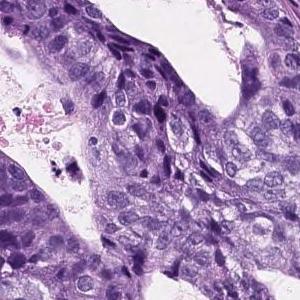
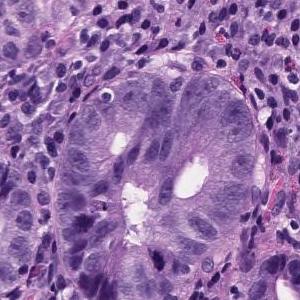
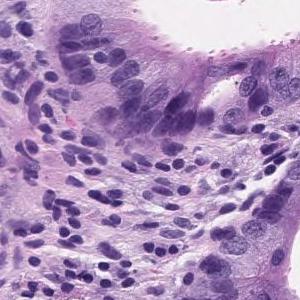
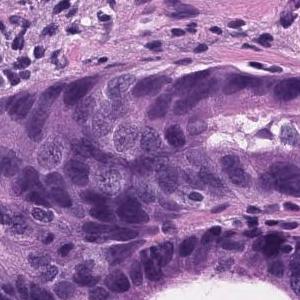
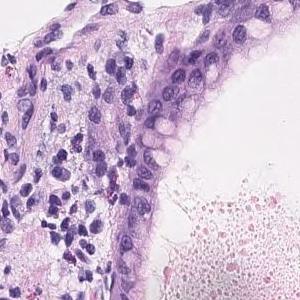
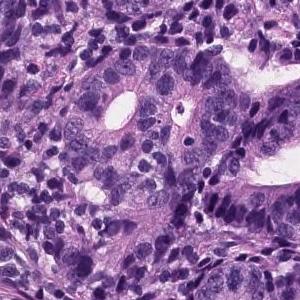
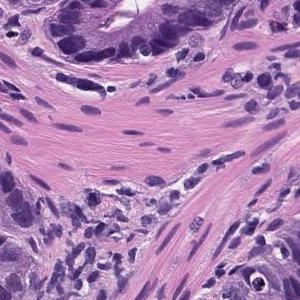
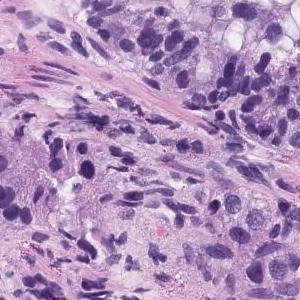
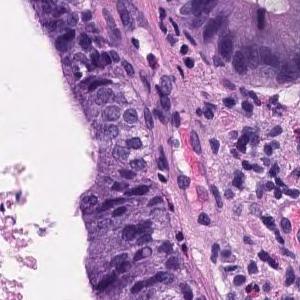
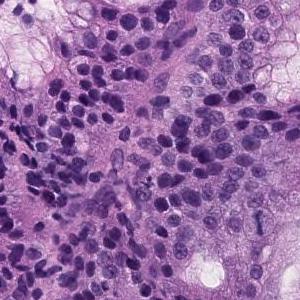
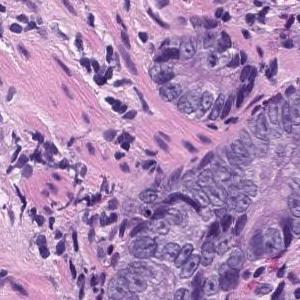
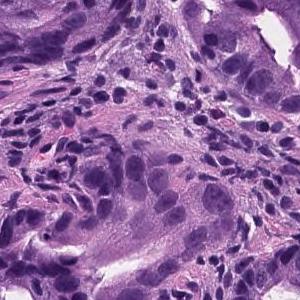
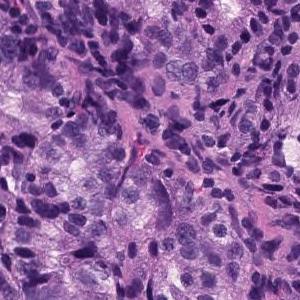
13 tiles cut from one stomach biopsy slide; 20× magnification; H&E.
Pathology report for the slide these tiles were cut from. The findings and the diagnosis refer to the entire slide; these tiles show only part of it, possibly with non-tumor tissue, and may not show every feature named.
Tumor tissue consisting of medium-sized and irregular ducts is observed infiltrating in the superficial epithelium. Tumor cells are highly columnar, with nuclei aligned basolaterally and polarized. Well differentiated tubular adenocarcinoma.
